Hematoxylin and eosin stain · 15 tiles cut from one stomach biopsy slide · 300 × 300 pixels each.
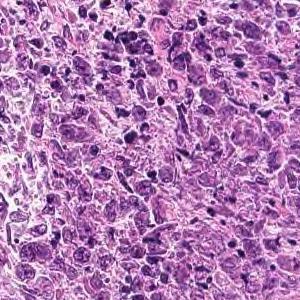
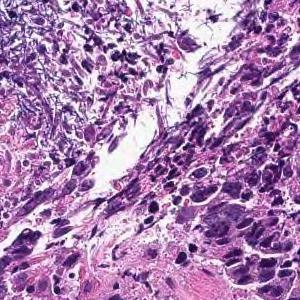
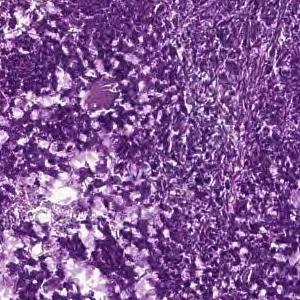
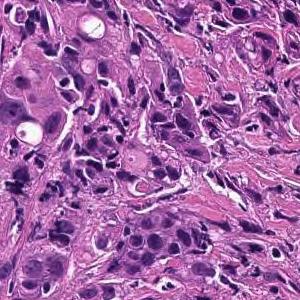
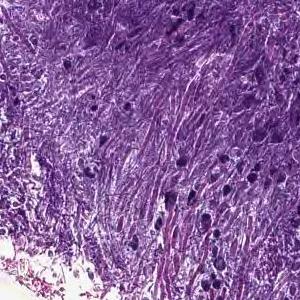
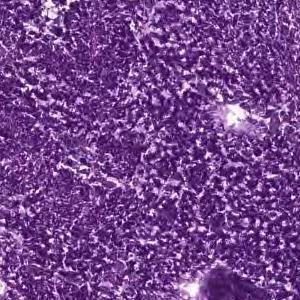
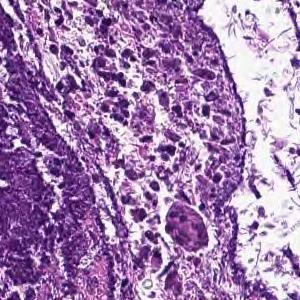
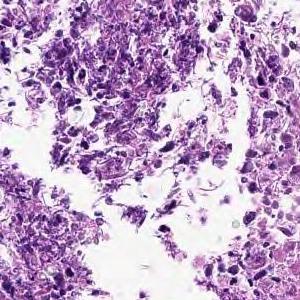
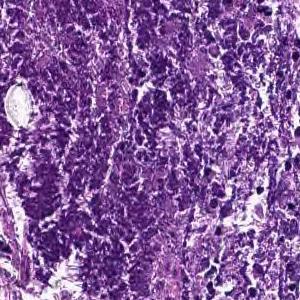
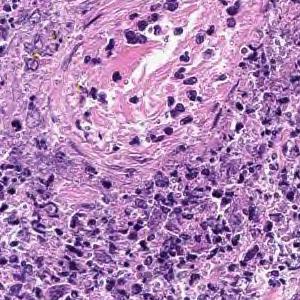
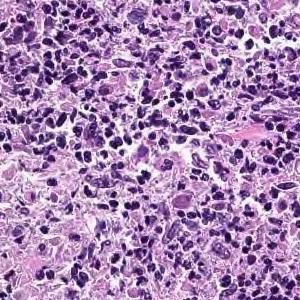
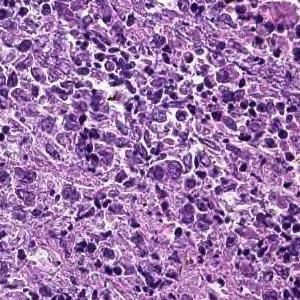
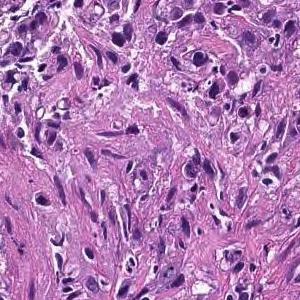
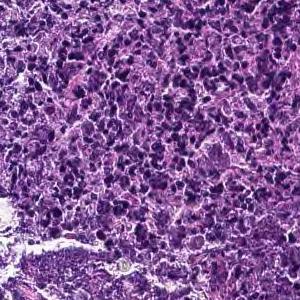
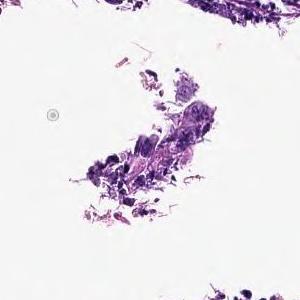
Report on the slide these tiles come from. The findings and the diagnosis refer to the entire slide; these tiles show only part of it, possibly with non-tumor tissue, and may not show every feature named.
Cancers with polygonal nuclei do not show glandular formation and are densely, in part, cord-like and proliferate. Poorly differentiated adenocarcinoma
Tumor subtype: poorly differentiated adenocarcinoma, non-solid type.
The non-solid type named here is a Japanese Classification of Gastric Carcinoma category.
